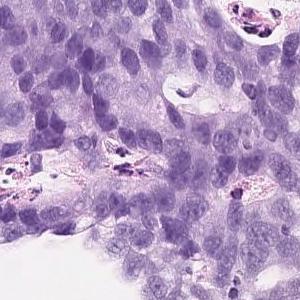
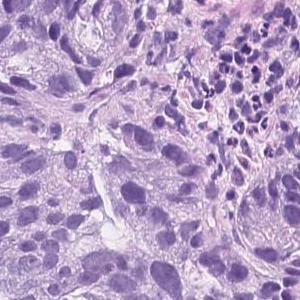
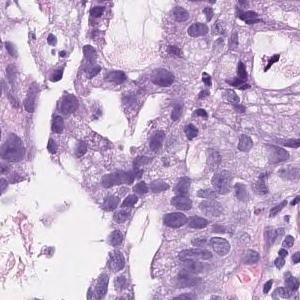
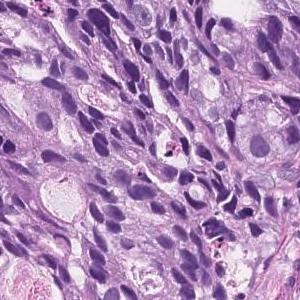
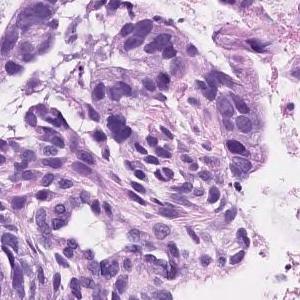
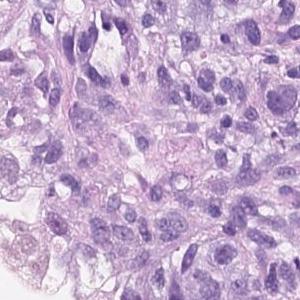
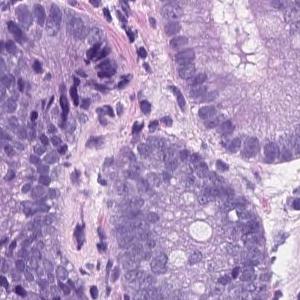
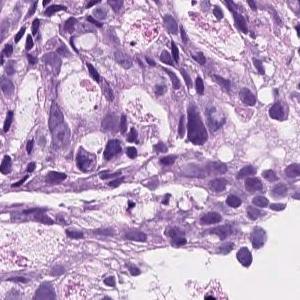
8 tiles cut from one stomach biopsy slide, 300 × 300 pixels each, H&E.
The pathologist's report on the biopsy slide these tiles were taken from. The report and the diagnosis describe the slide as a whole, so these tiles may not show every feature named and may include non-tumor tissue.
On the superficial epithelium, tumor tissue consisting of an image of large, irregular glandular ducts partially fused and infiltrated is observed. Well to moderately differentiated tubular adenocarcinoma
